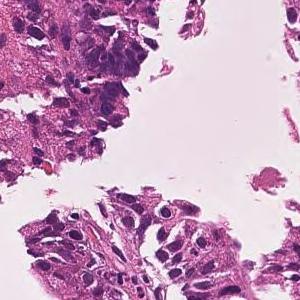
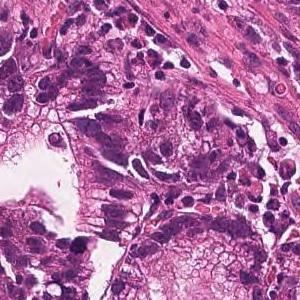
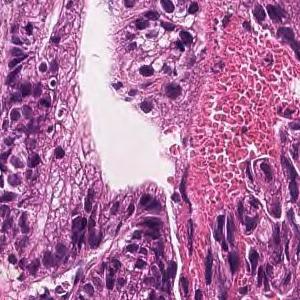
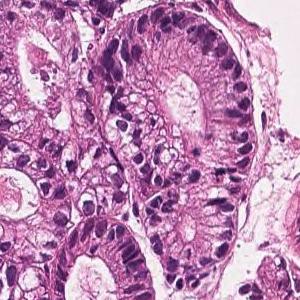
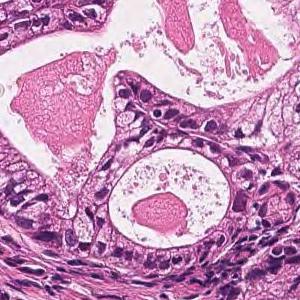
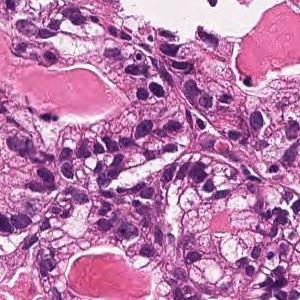
×20; H&E; 6 tiles from the same stomach biopsy slide.
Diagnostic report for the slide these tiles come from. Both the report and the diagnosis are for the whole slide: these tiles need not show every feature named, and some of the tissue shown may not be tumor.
On the superficial epithelium, tumor tissue consisting of large, irregular glandular ducts partially fused and infiltrated is observed. Well to moderately differentiated tubular adenocarcinoma (well differentiated tubular adenocarcinoma, moderately differentiated tubular adenocarcinoma)
Classified as well to moderately differentiated tubular adenocarcinoma.
